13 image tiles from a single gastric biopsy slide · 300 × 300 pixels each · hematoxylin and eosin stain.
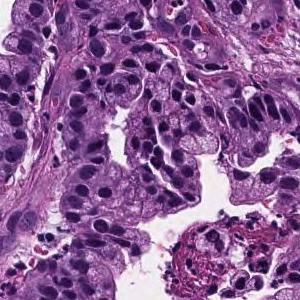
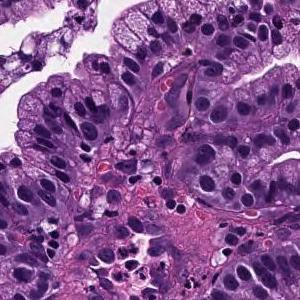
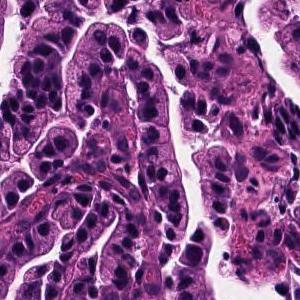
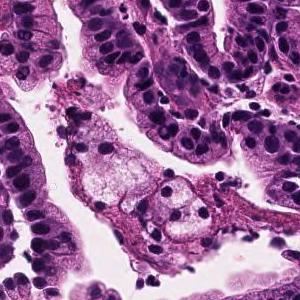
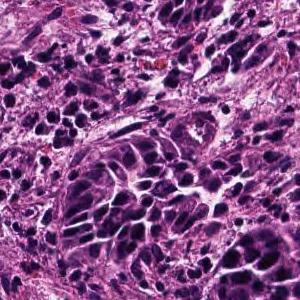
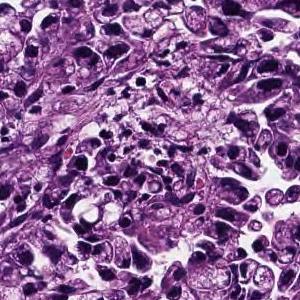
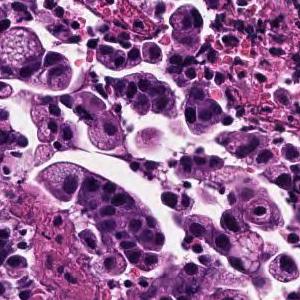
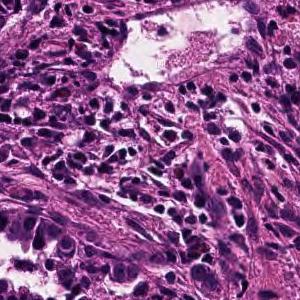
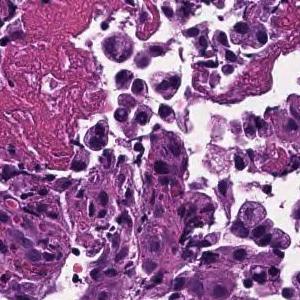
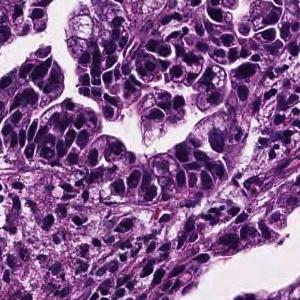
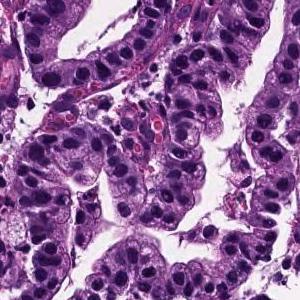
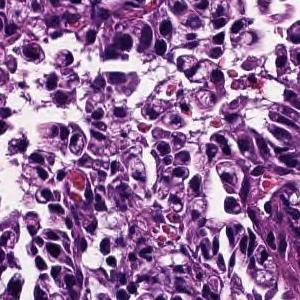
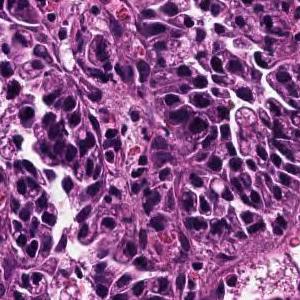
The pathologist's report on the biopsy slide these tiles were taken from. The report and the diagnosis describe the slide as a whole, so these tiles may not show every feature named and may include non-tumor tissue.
Tumor cells are large, highly columnar, large club-shaped nuclei, and are associated with chromatin aggregation. Papillary adenocarcinoma.
